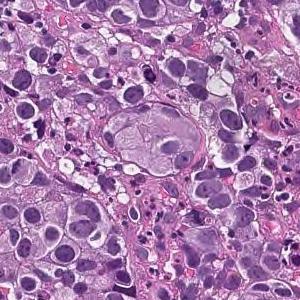
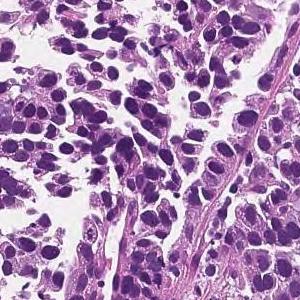
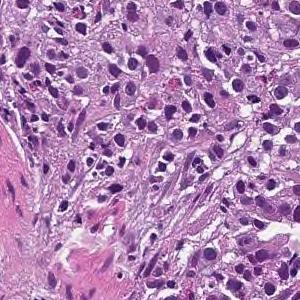
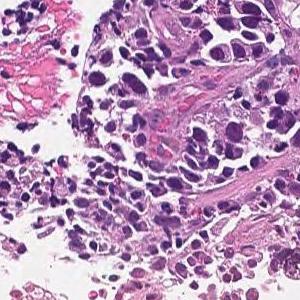
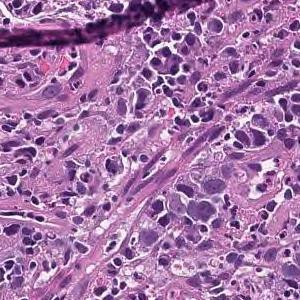
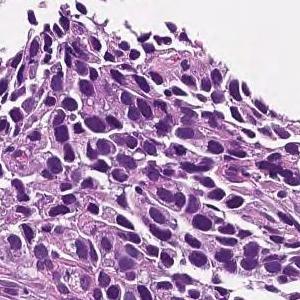
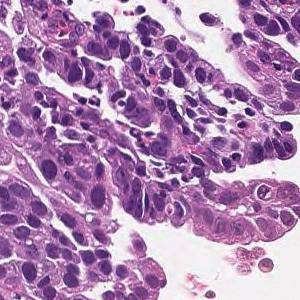
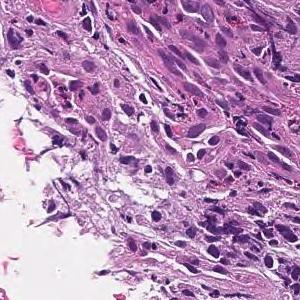
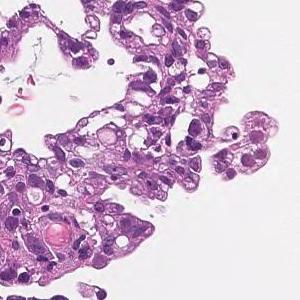
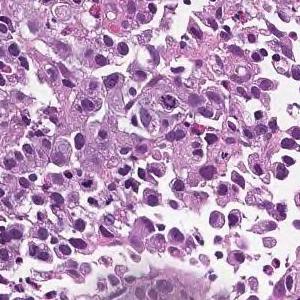
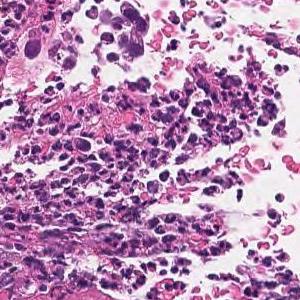
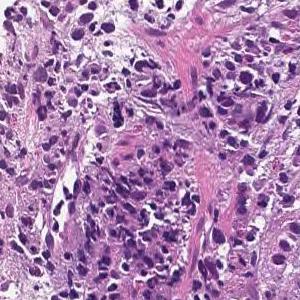
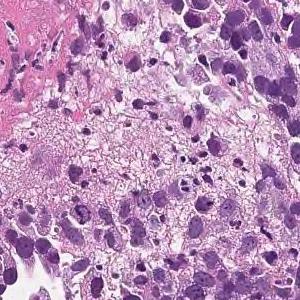
20× magnification, 13 tiles cut from one stomach biopsy slide.
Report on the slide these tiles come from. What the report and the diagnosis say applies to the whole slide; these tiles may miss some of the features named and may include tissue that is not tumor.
The superficial epithelium shows a large sheet-like shape, and some tumor tissue infiltrates with small irregular ducts. Poorly differentiated adenocarcinoma, solid-type
Classified as poorly differentiated adenocarcinoma, solid type, a category of the Japanese Classification of Gastric Carcinoma; in the WHO 2019 classification it is tubular adenocarcinoma, poorly differentiated.
